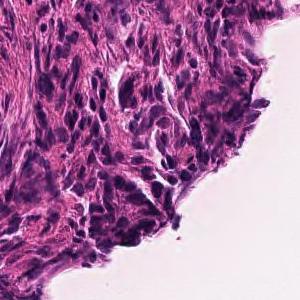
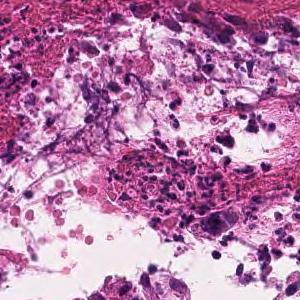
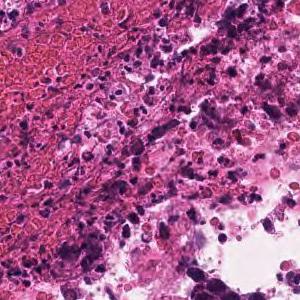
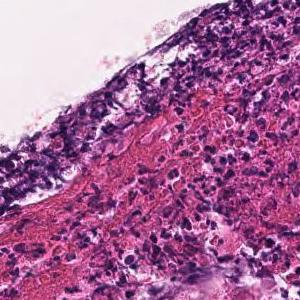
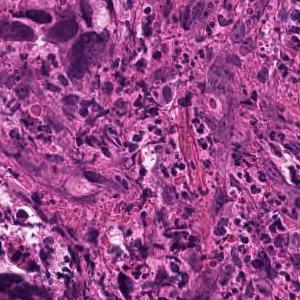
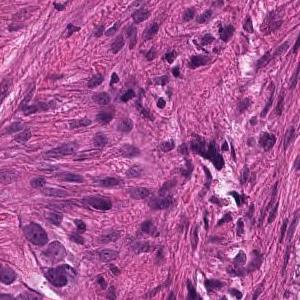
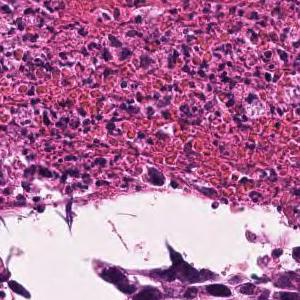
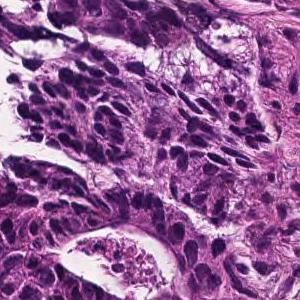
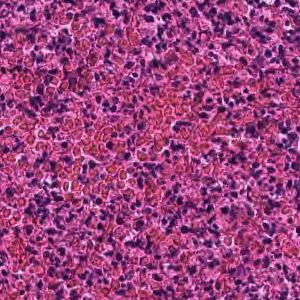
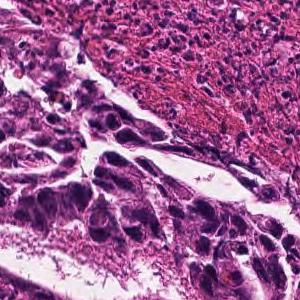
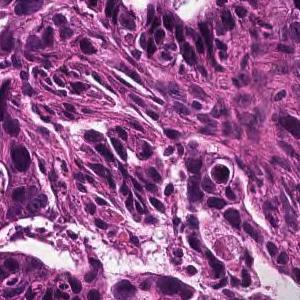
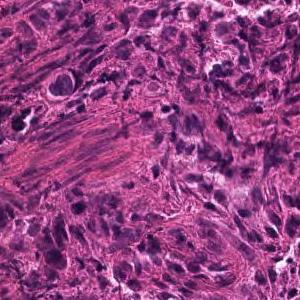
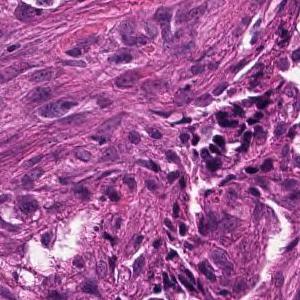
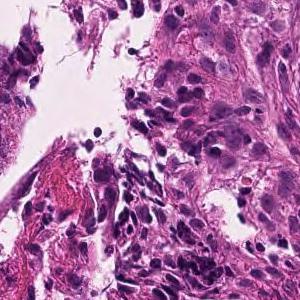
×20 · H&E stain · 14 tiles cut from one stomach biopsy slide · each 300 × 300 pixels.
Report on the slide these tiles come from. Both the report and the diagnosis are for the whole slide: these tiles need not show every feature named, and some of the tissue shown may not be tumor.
In the superficial epithelium, tumor tissue that invades by forming medium-sized to small, irregular ducts is observed. moderately differentiated tubular adenocarcinoma.
